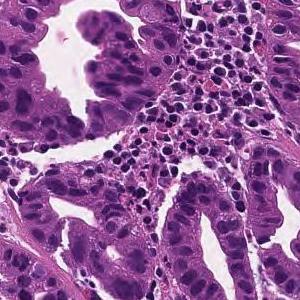
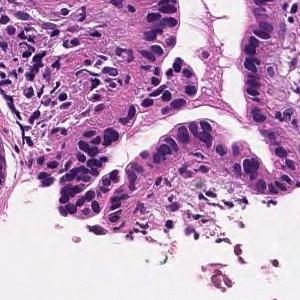
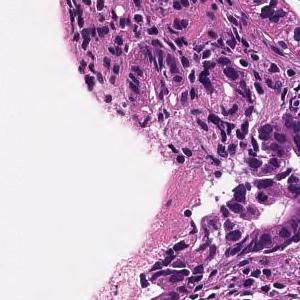
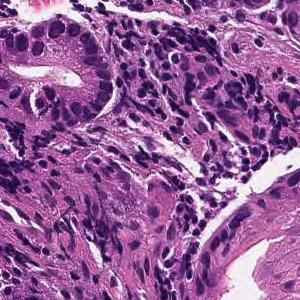
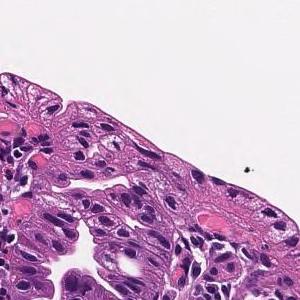
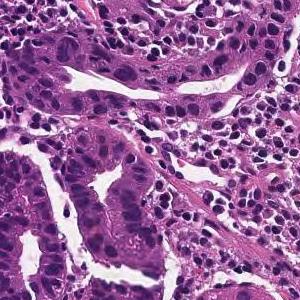
×20, 6 patches cut from one gastric biopsy slide, each 300 × 300 pixels.
Diagnostic report for the slide these tiles come from. The report describes the whole slide, diagnosis included: not every finding it names need appear in these tiles, which may also show non-tumor tissue.
From the superficial epithelium to the muscularis mucosae, tumor tissue consisting of medium-sized and irregular glandular ducts infiltrating is observed. Well differentiated tubular adenocarcinoma
